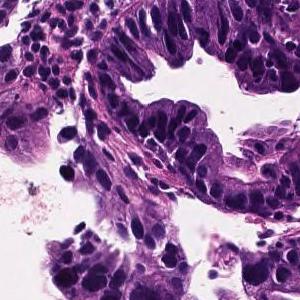
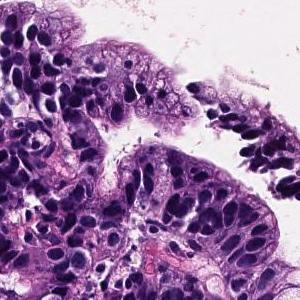
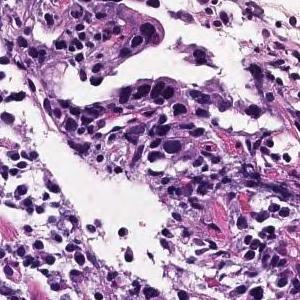
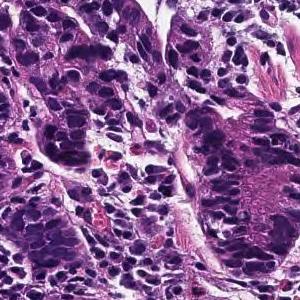
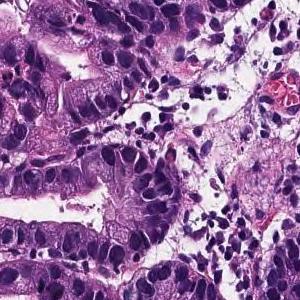
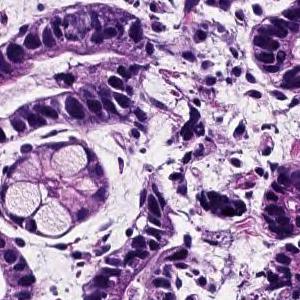
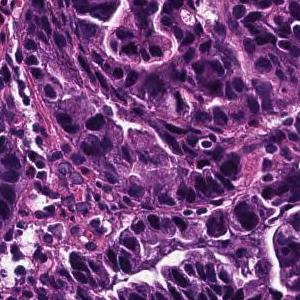
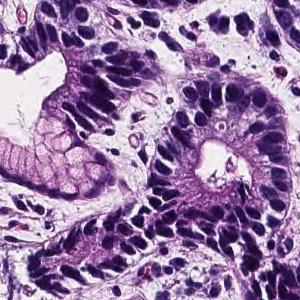
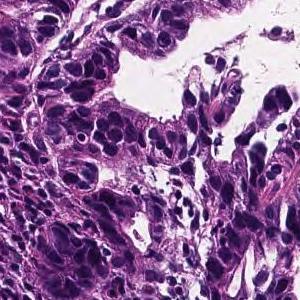
9 image tiles from a single gastric biopsy slide, 20× magnification.
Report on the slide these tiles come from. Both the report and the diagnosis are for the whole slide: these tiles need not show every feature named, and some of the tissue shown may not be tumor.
Tumor cells are large, highly columnar, large club-shaped nuclei, and are associated with chromatin aggregation. Papillary adenocarcinoma.
